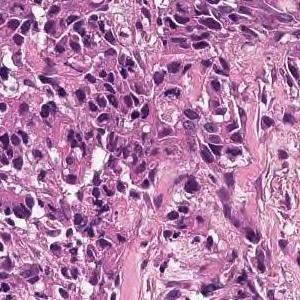
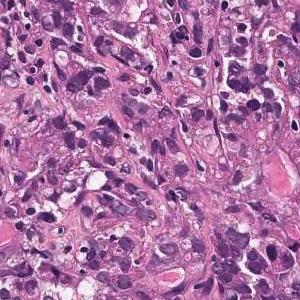
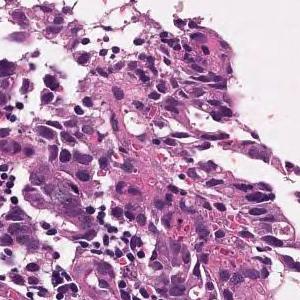
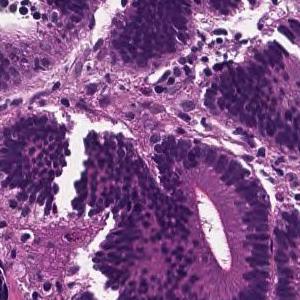
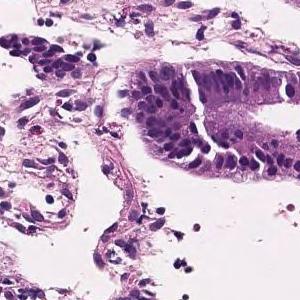
5 image tiles from a single gastric biopsy slide, 300×300 px each, hematoxylin and eosin stain.
The pathologist's report on the biopsy slide these tiles were taken from. Both the report and the diagnosis are for the whole slide: these tiles need not show every feature named, and some of the tissue shown may not be tumor.
Tumor tissue consisting of cord-like or small, irregular glandular ducts fused and infiltrated is observed in the superficial epithelium. Poorly differentiated adenocarcinoma, non-solid type
The non-solid type named here is a Japanese Classification of Gastric Carcinoma category.
